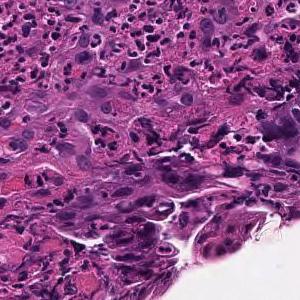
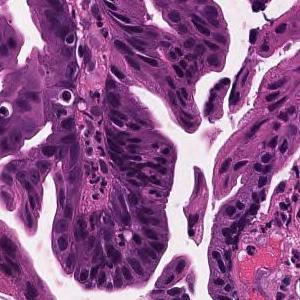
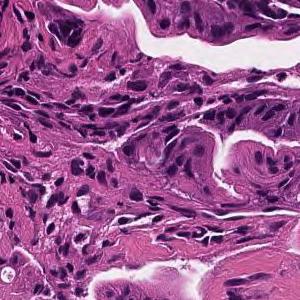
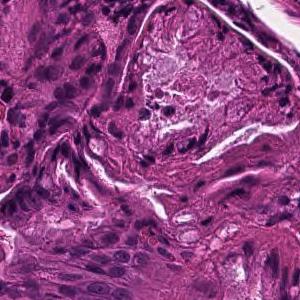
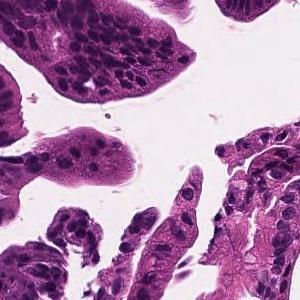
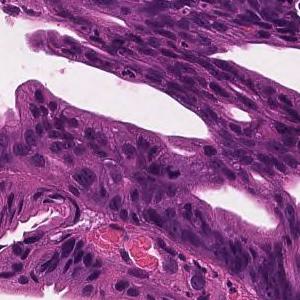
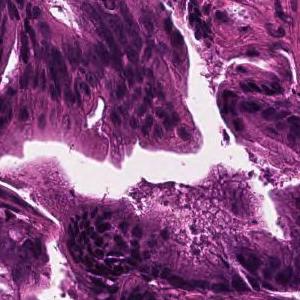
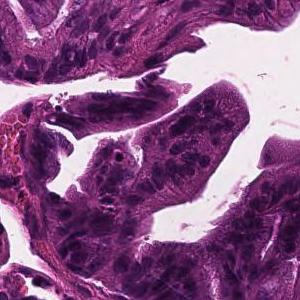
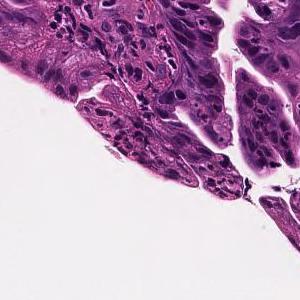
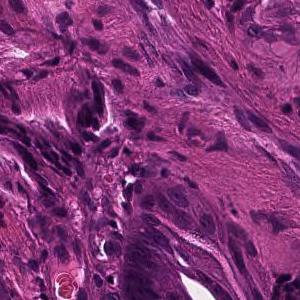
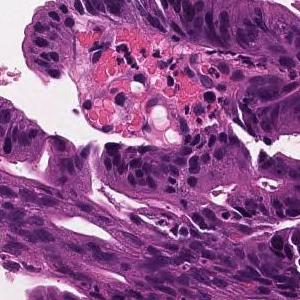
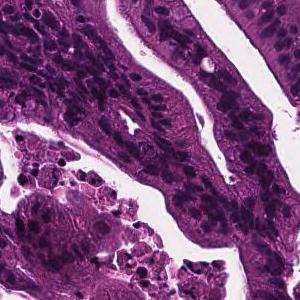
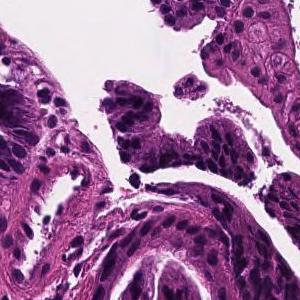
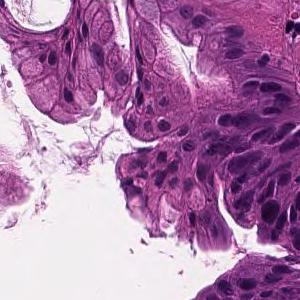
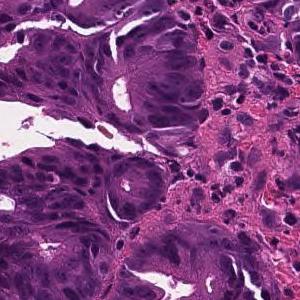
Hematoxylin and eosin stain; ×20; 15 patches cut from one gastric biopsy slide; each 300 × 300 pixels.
Pathology report for the slide these tiles were cut from. What the report and the diagnosis say applies to the whole slide; these tiles may miss some of the features named and may include tissue that is not tumor.
Tumor cells are large, highly columnar, large club-shaped nuclei, and are associated with chromatin aggregation. Papillary adenocarcinoma.
